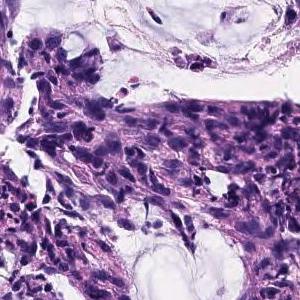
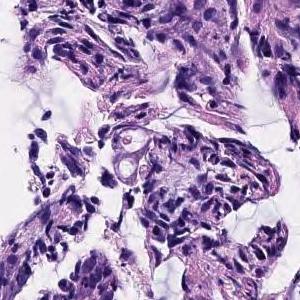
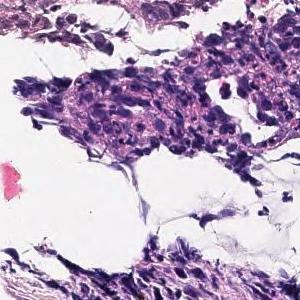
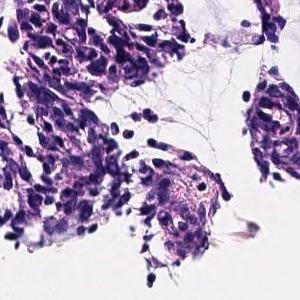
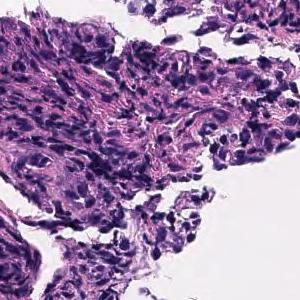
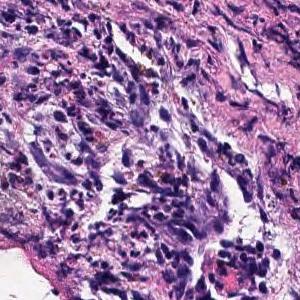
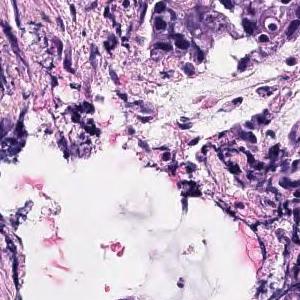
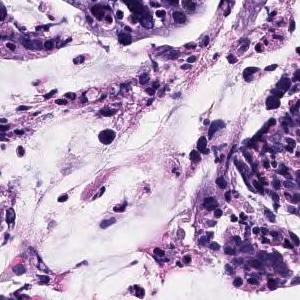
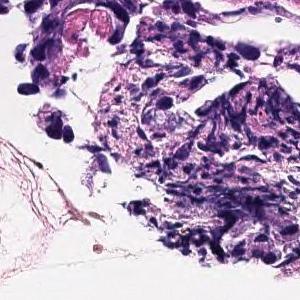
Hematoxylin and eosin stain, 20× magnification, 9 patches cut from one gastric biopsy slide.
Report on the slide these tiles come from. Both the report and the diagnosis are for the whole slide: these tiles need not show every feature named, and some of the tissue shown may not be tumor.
The superficial epithelium shows small cord-like infiltrating tumor tissue. Some part of neoplastic cells are signet ring cell type which show single invasion manner. Poorly differentiated adenocarcinoma, non-solid type.
"Non-solid type" is a category of the Japanese Classification of Gastric Carcinoma.
